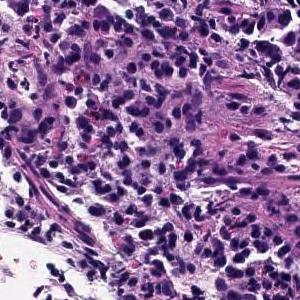
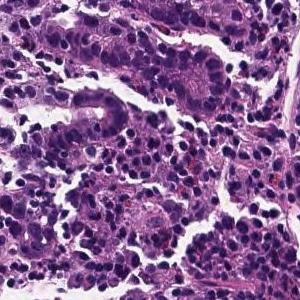
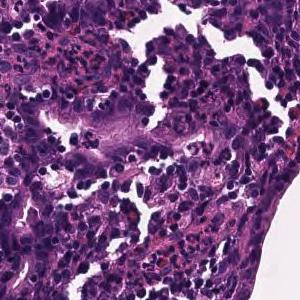
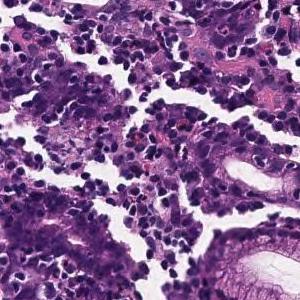
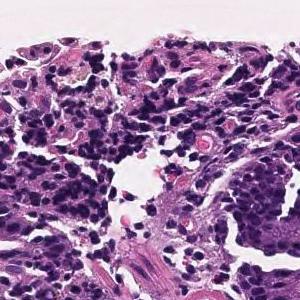
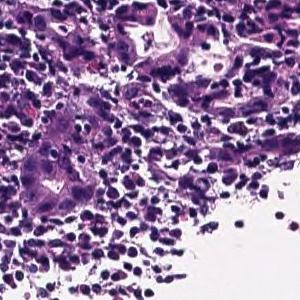
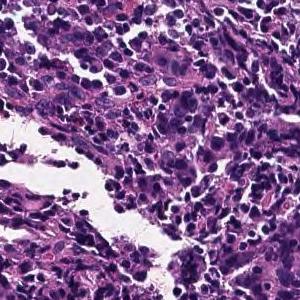
7 image tiles from a single gastric biopsy slide; 300×300 px each; scanned at ×20; hematoxylin and eosin stain.
Diagnostic report for the slide these tiles come from. The findings and the diagnosis refer to the entire slide; these tiles show only part of it, possibly with non-tumor tissue, and may not show every feature named.
Tumor tissue consisting of medium-sized, cord-like or irregular glandular infiltration is observed in the superficial epithelium. Poorly differentiated adenocarcinoma, non-solid type or moderately differentiated tubular adenocarcinoma
Histologic type: Moderately to poorly differentiated adenocarcinoma.
The non-solid type named here is a Japanese Classification of Gastric Carcinoma category.
